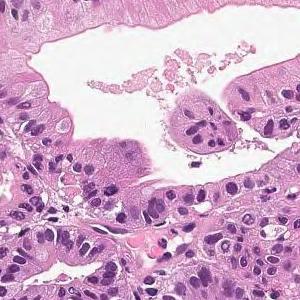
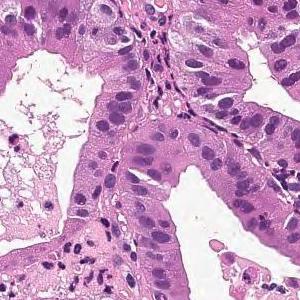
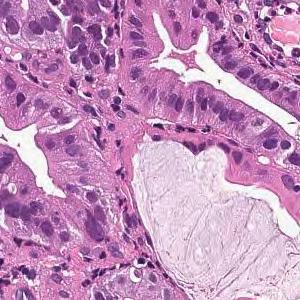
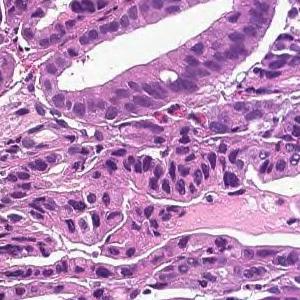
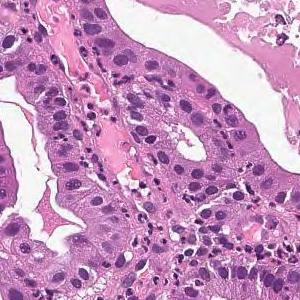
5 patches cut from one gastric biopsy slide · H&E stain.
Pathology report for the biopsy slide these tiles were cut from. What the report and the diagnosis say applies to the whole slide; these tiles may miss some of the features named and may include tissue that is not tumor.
From the superficial epithelium to the muscularis mucosae, tumor tissue consisting of medium-sized and irregular glandular ducts infiltrating is observed. Well differentiated tubular adenocarcinoma
